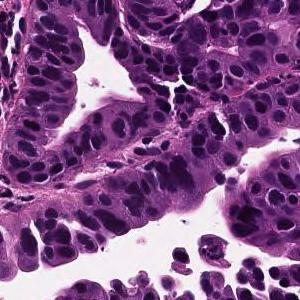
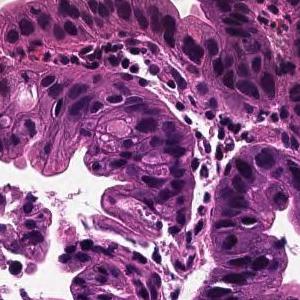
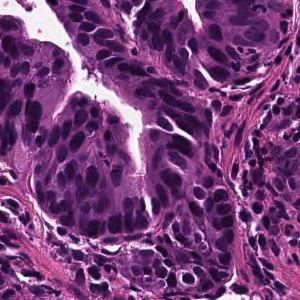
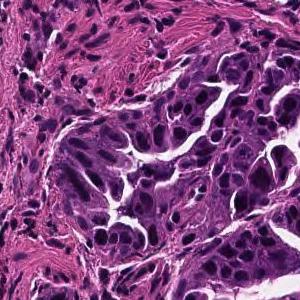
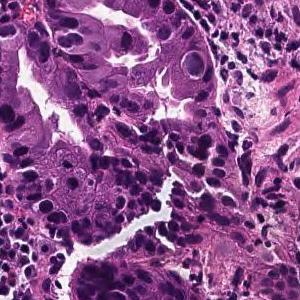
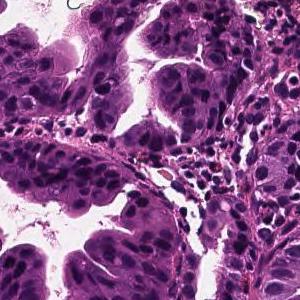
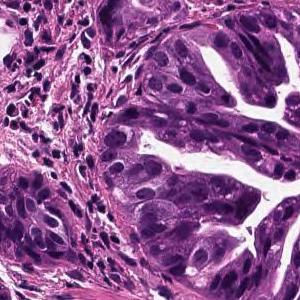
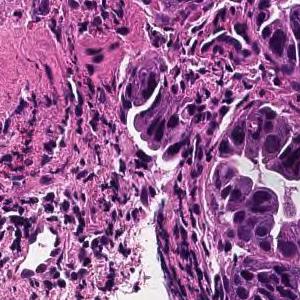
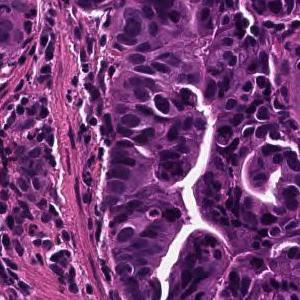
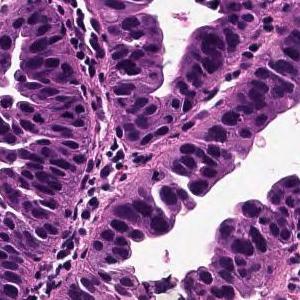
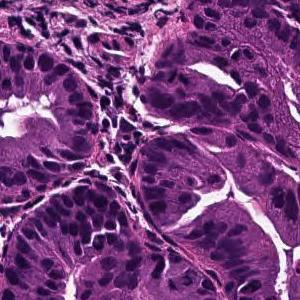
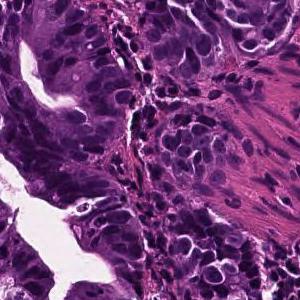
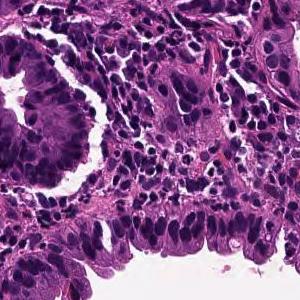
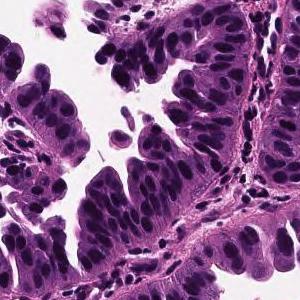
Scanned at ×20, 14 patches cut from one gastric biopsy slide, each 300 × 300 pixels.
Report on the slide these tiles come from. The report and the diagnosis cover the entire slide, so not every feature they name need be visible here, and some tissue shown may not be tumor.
Tumor cells are large, highly columnar, large club-shaped nuclei, and are associated with chromatin aggregation. Papillary adenocarcinoma.
